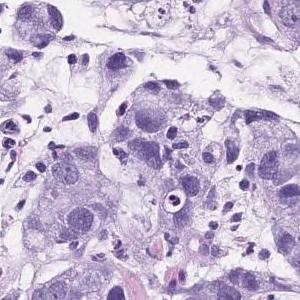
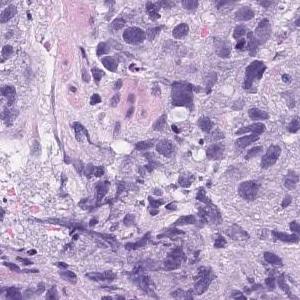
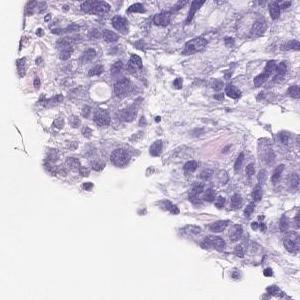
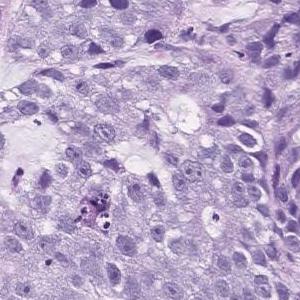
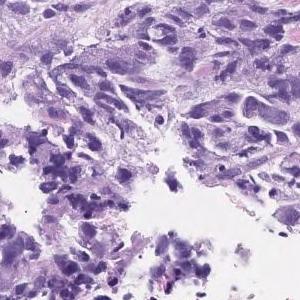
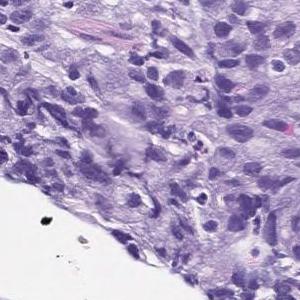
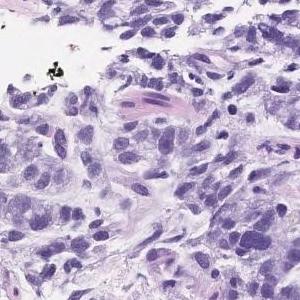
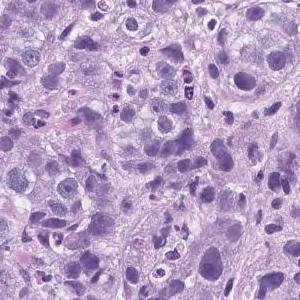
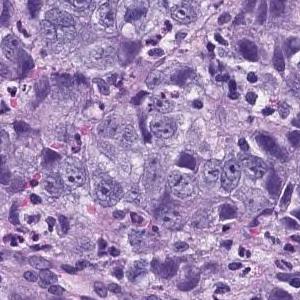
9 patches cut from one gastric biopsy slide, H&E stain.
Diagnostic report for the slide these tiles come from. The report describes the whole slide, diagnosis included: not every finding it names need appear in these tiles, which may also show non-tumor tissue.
Atypical l cells with atypical nuclei forming solid vesicles or small irregular atypical ducts that proliferate in a complex manner. poorly differentiated adenocarcinoma, solid type, moderately differentiated tubular adenocarcinoma
The term "solid type" comes from the Japanese Classification of Gastric Carcinoma; the WHO 2019 equivalent is tubular adenocarcinoma, poorly differentiated.
